6 tiles cut from one stomach biopsy slide; 300 × 300 pixels each; 20× magnification; H&E.
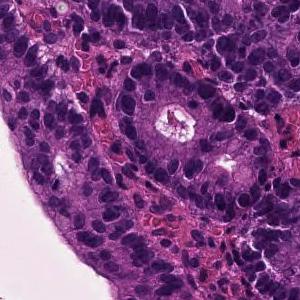
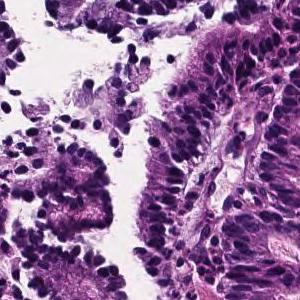
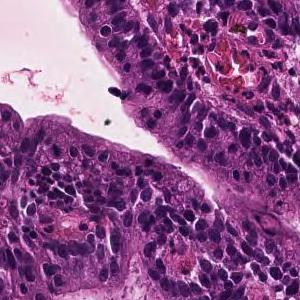
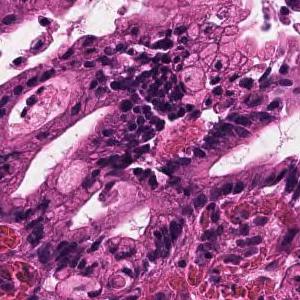
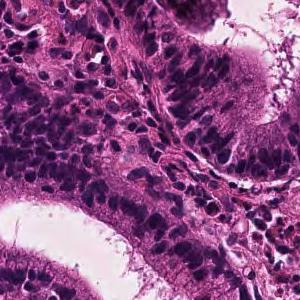
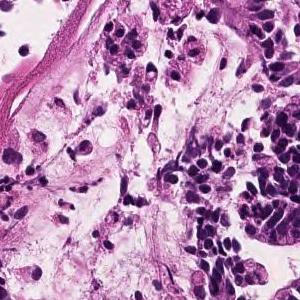
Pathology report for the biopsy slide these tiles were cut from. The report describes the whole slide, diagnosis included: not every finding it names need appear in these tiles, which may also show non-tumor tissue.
In the superficial epithelium, tumor tissue that invades by forming medium-sized to small, irregular ducts is observed. moderately differentiated tubular adenocarcinoma.
